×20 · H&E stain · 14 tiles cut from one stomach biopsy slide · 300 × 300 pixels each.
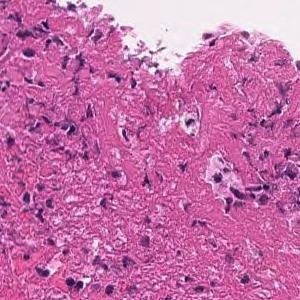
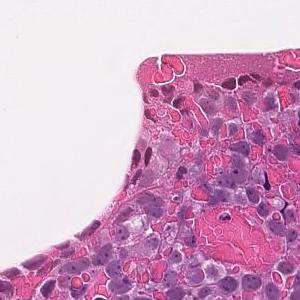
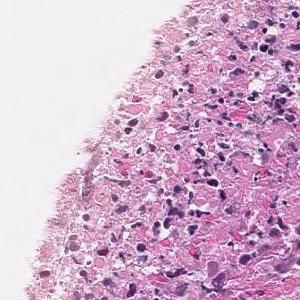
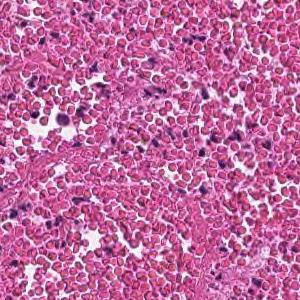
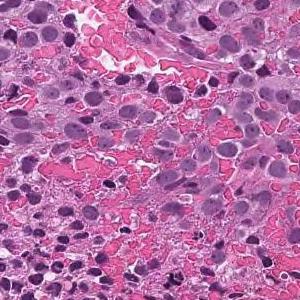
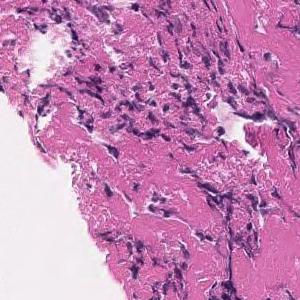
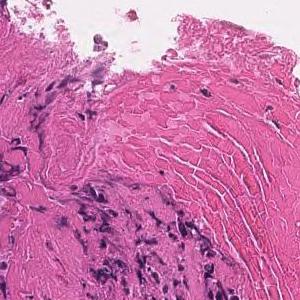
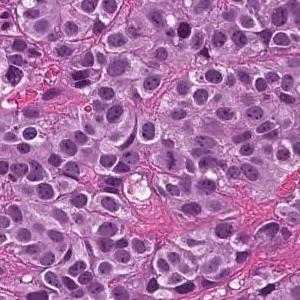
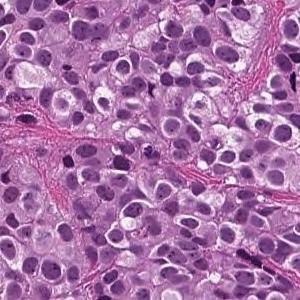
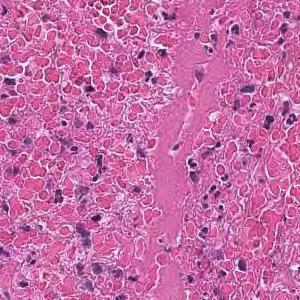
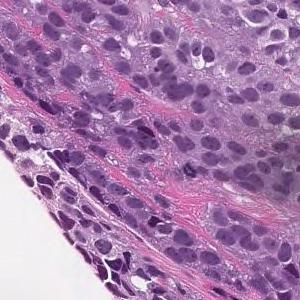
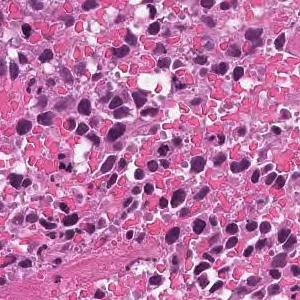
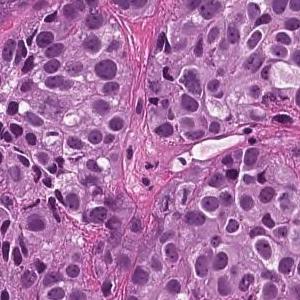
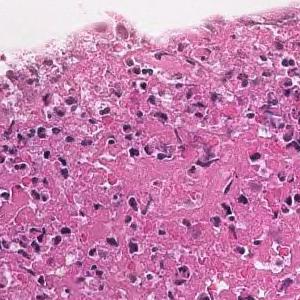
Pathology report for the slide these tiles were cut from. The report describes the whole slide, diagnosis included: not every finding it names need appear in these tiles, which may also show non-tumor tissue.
The superficial epithelium shows a large sheet-like shape, and some tumor tissue infiltrates with small irregular ducts. Poorly differentiated adenocarcinoma, solid-type
Histologic type: Poorly differentiated adenocarcinoma, solid type, a category of the Japanese Classification of Gastric Carcinoma; in the WHO 2019 classification it is tubular adenocarcinoma, poorly differentiated.
